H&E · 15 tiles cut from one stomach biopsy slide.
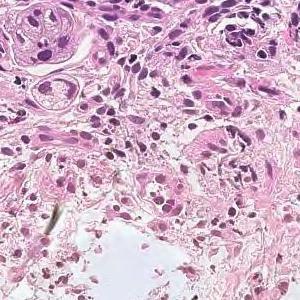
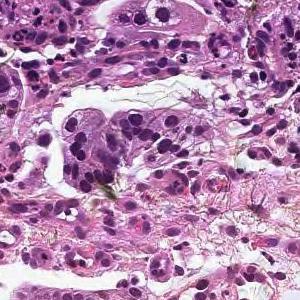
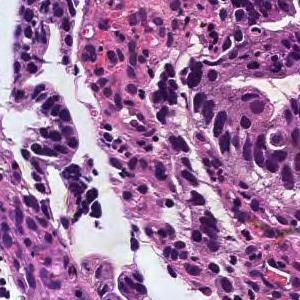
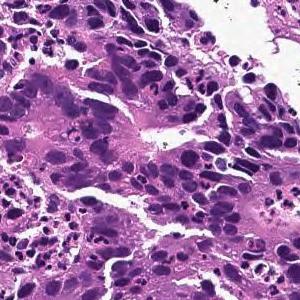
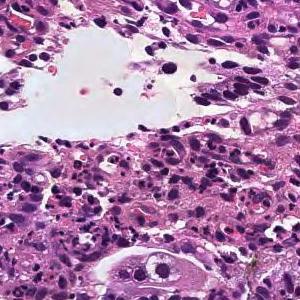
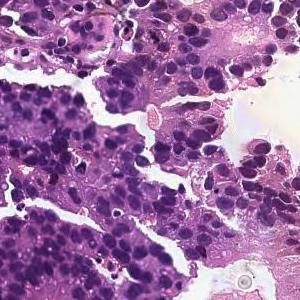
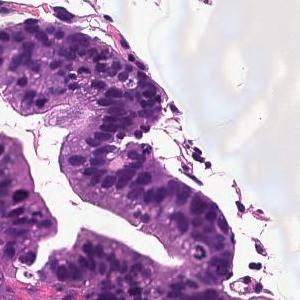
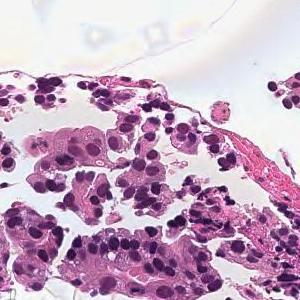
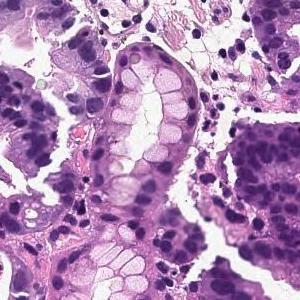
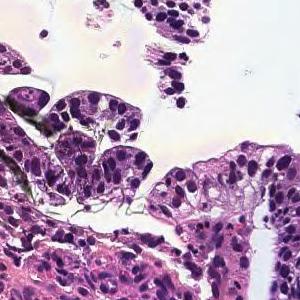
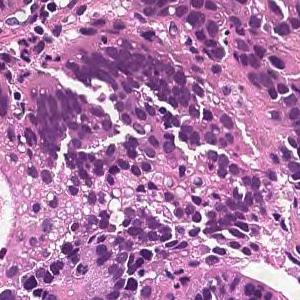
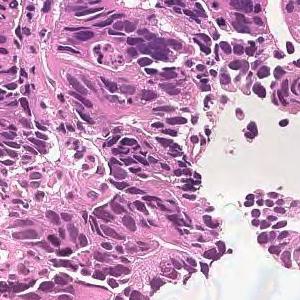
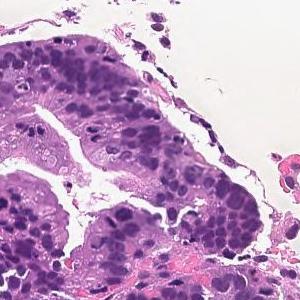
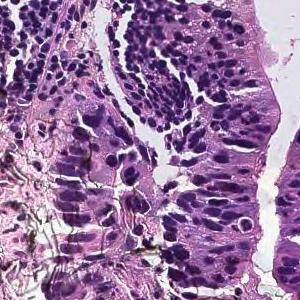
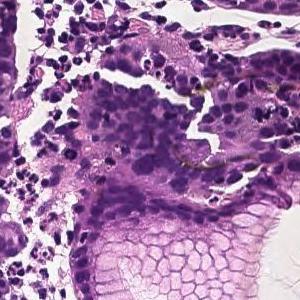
Diagnostic report for the slide these tiles come from. What the report and the diagnosis say applies to the whole slide; these tiles may miss some of the features named and may include tissue that is not tumor.
On the superficial epithelium, tumor tissue consisting of large irregular glandular ducts partially fused and infiltrated is observed. Well to moderately differentiated tubular adenocarcinoma (well differentiated tubular adenocarcinoma, moderately differentiated tubular adenocarcinoma)
Tumor subtype: well to moderately differentiated tubular adenocarcinoma.
